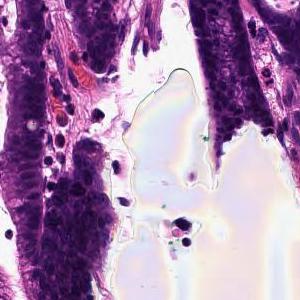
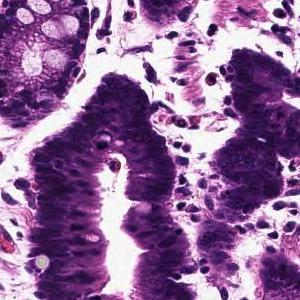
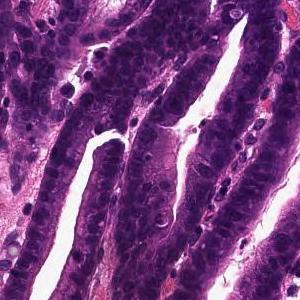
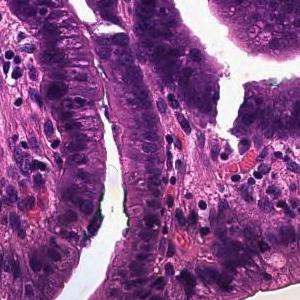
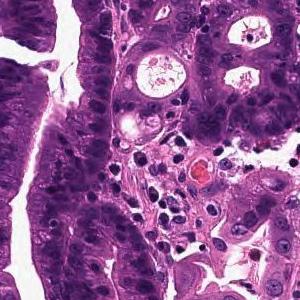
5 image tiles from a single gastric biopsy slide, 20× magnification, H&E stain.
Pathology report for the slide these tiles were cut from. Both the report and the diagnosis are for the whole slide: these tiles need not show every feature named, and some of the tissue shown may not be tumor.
Tumor tissue that infiltrates by forming large papillary or large irregular glandular ducts is observed confined to the mucosa. Papillary adenocarcinoma
